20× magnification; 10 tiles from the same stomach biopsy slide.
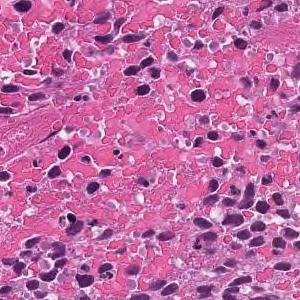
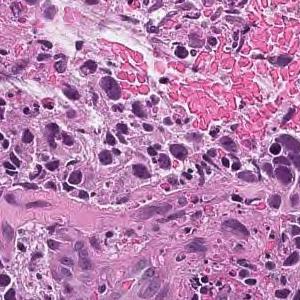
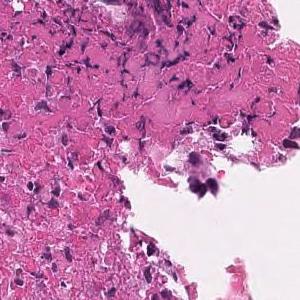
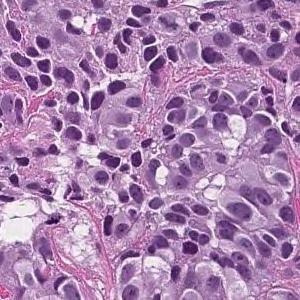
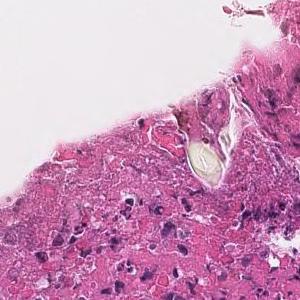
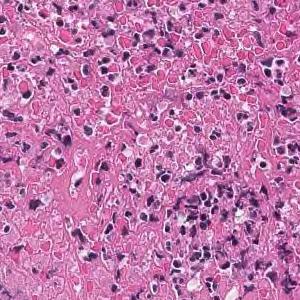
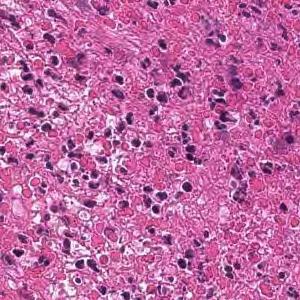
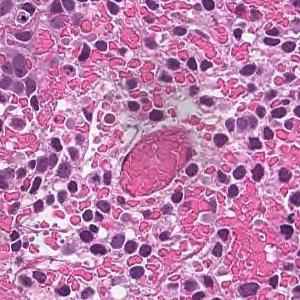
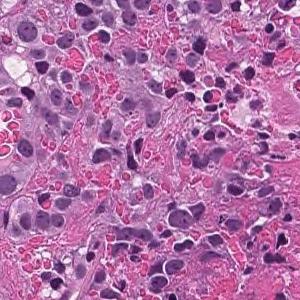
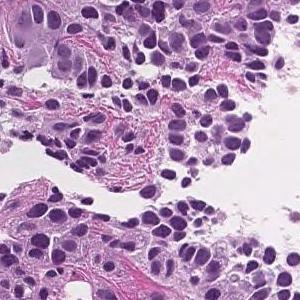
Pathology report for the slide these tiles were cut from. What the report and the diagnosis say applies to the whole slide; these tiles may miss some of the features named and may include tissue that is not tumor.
The superficial epithelium shows a large sheet-like shape, and some tumor tissue infiltrates with small irregular ducts. Poorly differentiated adenocarcinoma, solid-type
Histologic type: Poorly differentiated adenocarcinoma, solid type. This name comes from the Japanese Classification of Gastric Carcinoma; the WHO 2019 classification calls it tubular adenocarcinoma, poorly differentiated.
